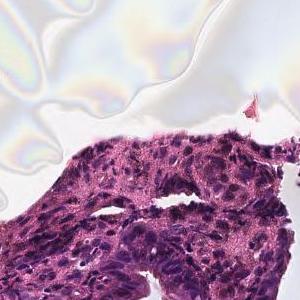
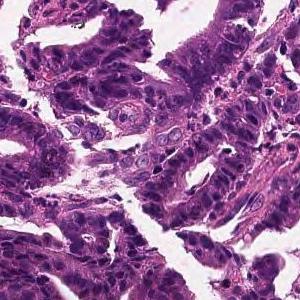
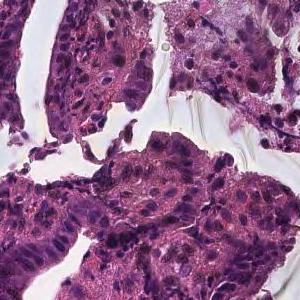
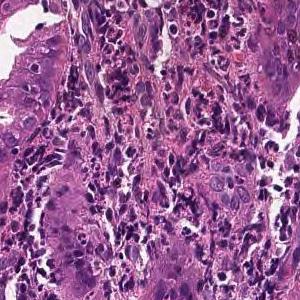
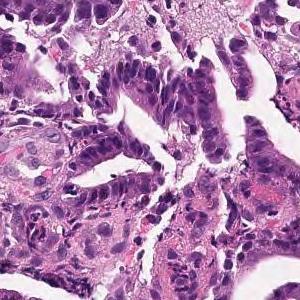
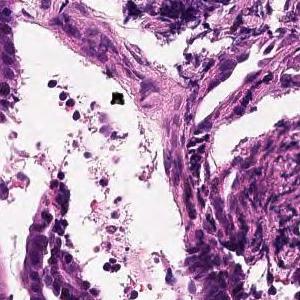
H&E stain; scanned at ×20; 6 tiles from the same stomach biopsy slide.
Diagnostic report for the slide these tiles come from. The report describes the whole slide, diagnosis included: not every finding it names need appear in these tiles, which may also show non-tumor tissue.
From the superficial epithelium to the muscularis mucosae, tumor tissue consisting of medium-sized and irregular glandular ducts infiltrating is observed. Well differentiated tubular adenocarcinoma
